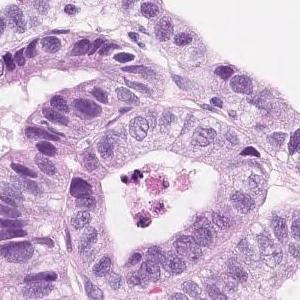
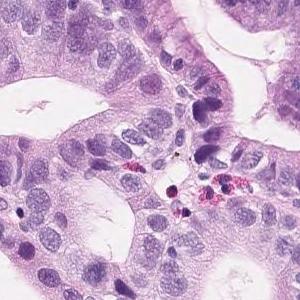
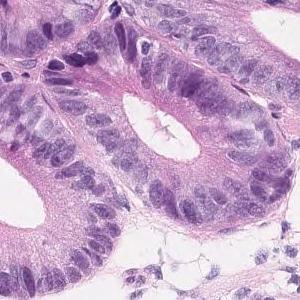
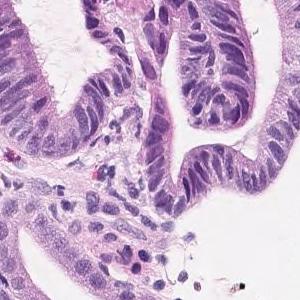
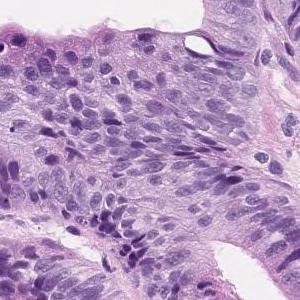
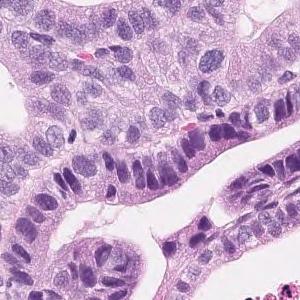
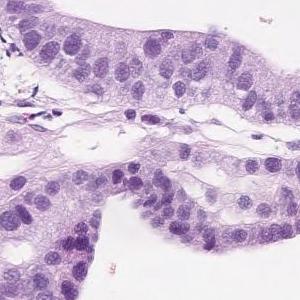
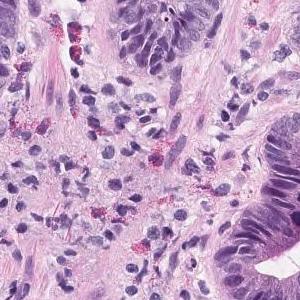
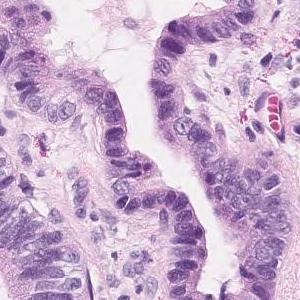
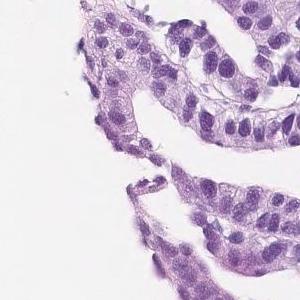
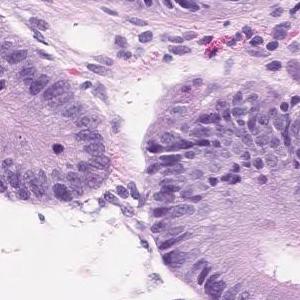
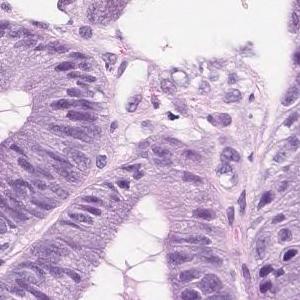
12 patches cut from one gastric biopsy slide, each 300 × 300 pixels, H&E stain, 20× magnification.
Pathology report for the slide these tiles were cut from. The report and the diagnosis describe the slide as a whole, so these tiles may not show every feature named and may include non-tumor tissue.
Short atypical epithelium with swelling of the nucleus shows proliferating, large and small irregular ductal structures. Well to moderately differentiated tubular adenocarcinoma (well differentiated tubular adenocarcinoma-moderately differentiated tubular adenocarcinoma)
Classified as well to moderately differentiated tubular adenocarcinoma.
